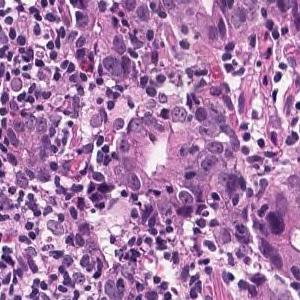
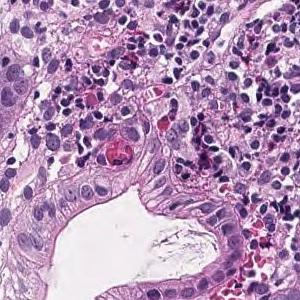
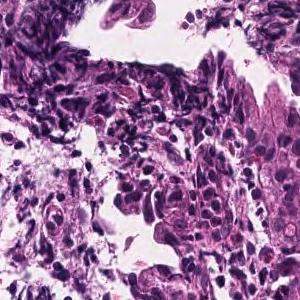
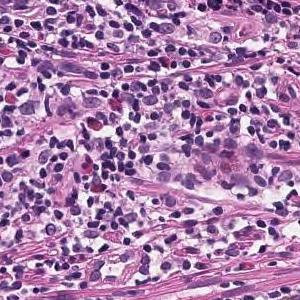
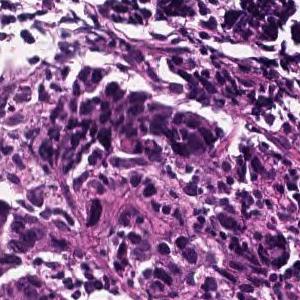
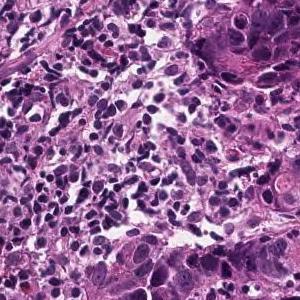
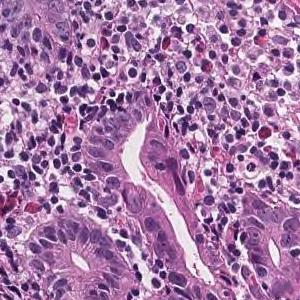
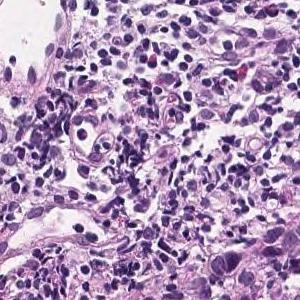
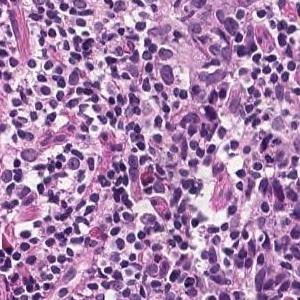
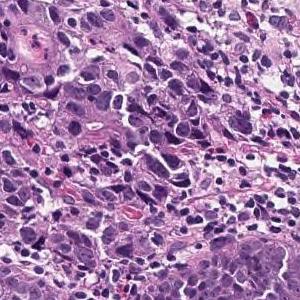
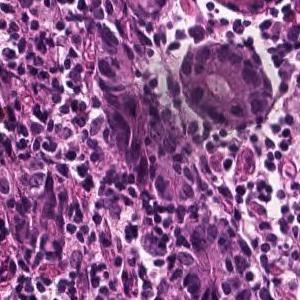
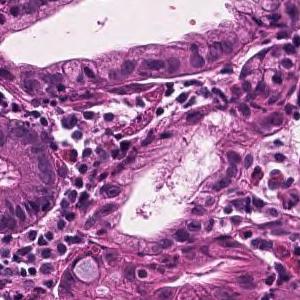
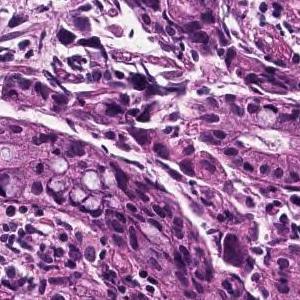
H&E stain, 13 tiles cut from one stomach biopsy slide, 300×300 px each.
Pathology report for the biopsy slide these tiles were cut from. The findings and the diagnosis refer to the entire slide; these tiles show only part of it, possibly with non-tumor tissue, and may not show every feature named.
Tumor tissue consisting of medium-sized, cord-like or irregular glandular infiltration is observed in the superficial epithelium. Poorly differentiated adenocarcinoma, non-solid type or moderately differentiated tubular adenocarcinoma
Classified as moderately to poorly differentiated adenocarcinoma.
The non-solid type named here is a Japanese Classification of Gastric Carcinoma category.
